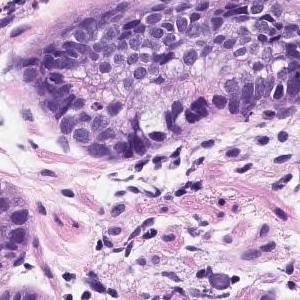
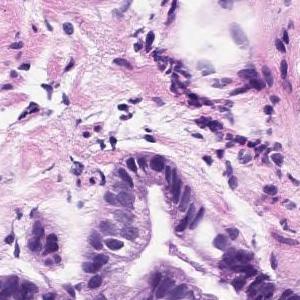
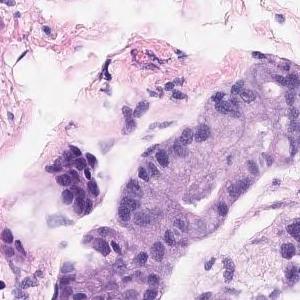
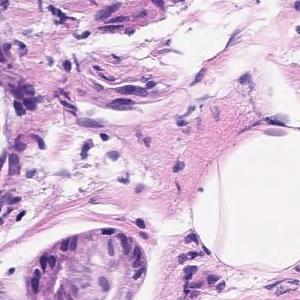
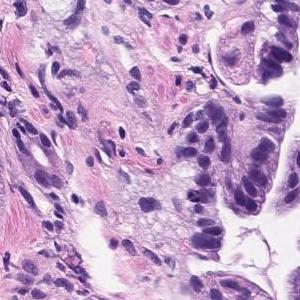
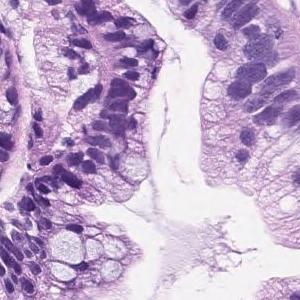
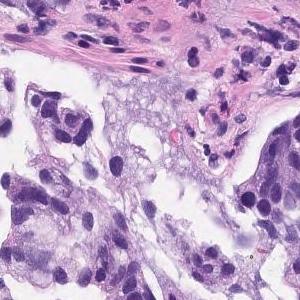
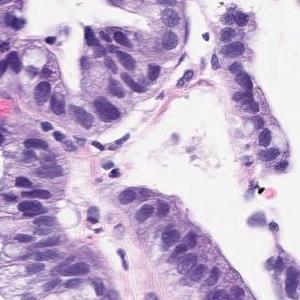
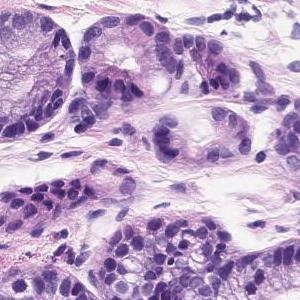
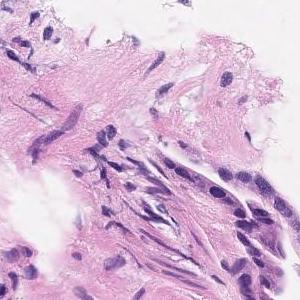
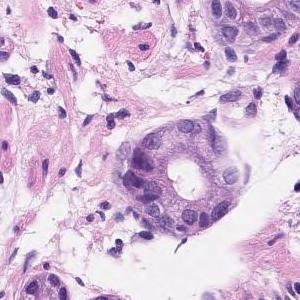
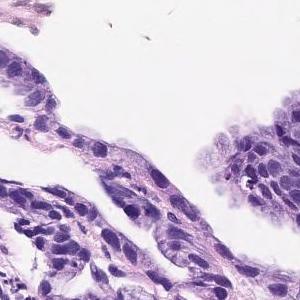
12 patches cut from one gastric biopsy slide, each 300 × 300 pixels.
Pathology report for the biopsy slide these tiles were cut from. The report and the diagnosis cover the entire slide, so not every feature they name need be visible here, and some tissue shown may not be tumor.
The superficial tumors shows large papillary structures or large and small ducts and infiltrates. Papillary adenocarcinoma.
